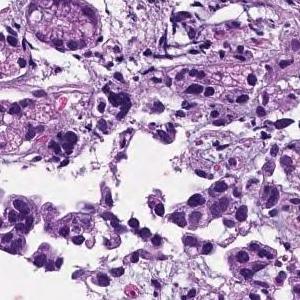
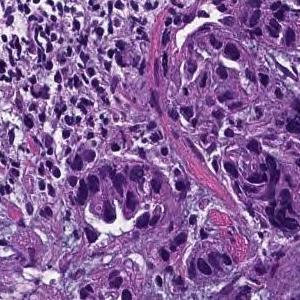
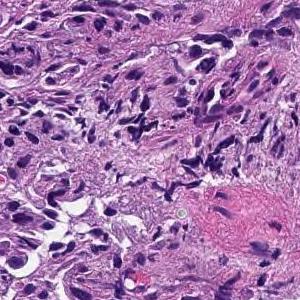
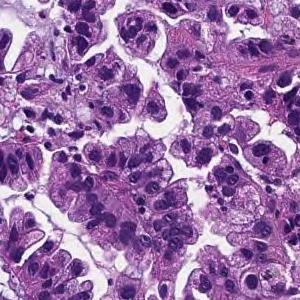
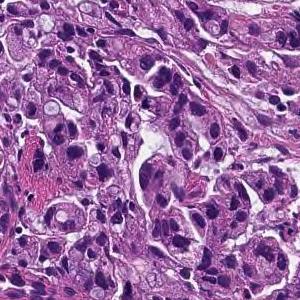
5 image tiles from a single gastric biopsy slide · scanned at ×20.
Pathology report for the slide these tiles were cut from. What the report and the diagnosis say applies to the whole slide; these tiles may miss some of the features named and may include tissue that is not tumor.
Tumor tissue consisting of medium-sized, cord-like or irregular glandular infiltration is observed in the superficial epithelium. Poorly differentiated adenocarcinoma, non-solid type or moderately differentiated tubular adenocarcinoma
Histological subtype: Moderately to poorly differentiated adenocarcinoma.
"Non-solid type" is a category of the Japanese Classification of Gastric Carcinoma.
